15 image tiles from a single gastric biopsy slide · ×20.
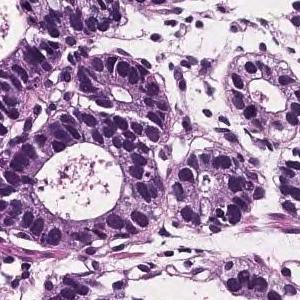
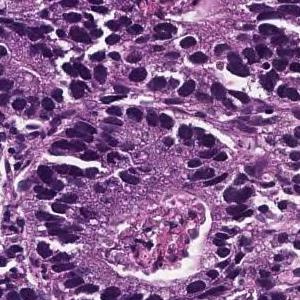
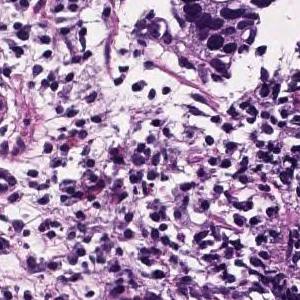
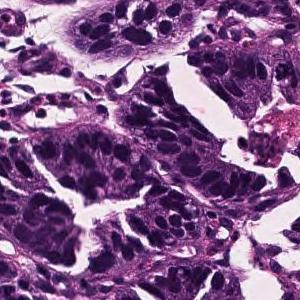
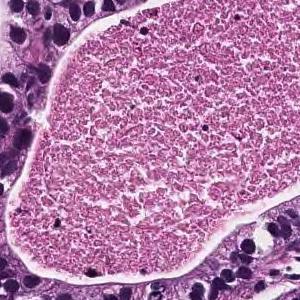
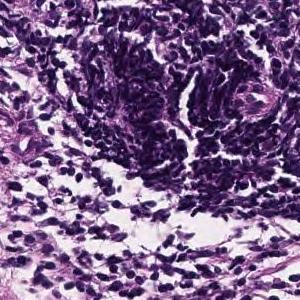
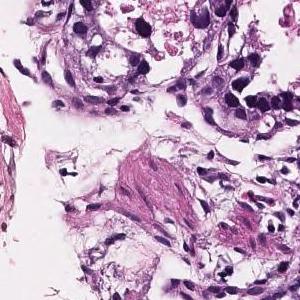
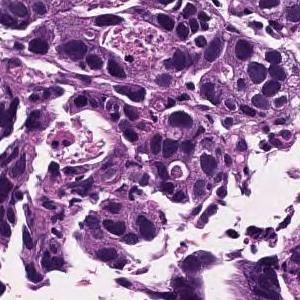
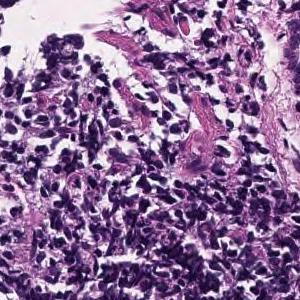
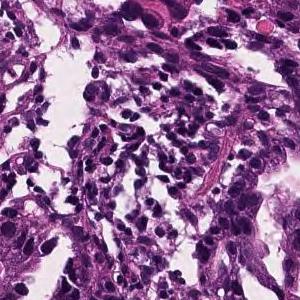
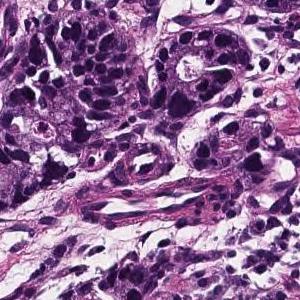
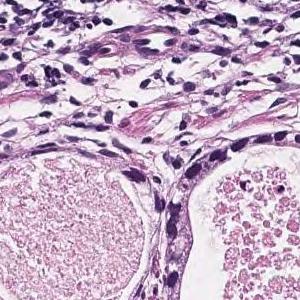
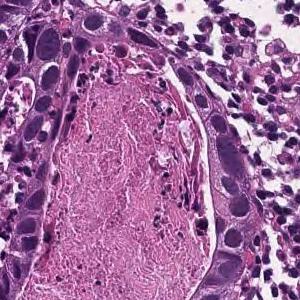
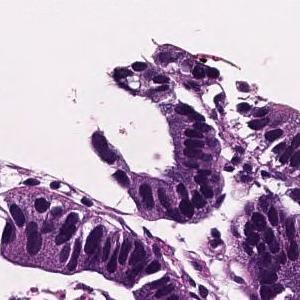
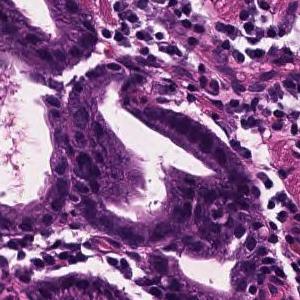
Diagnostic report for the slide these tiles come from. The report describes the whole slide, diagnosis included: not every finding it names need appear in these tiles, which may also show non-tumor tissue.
In the superficial epithelium, tumor tissue that invades by forming medium-sized to small, irregular ducts is observed. Well differentiated tubular adenocarcinoma.
